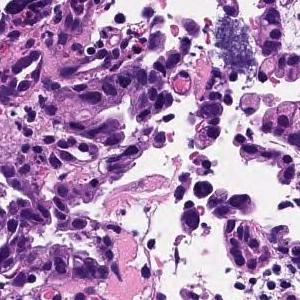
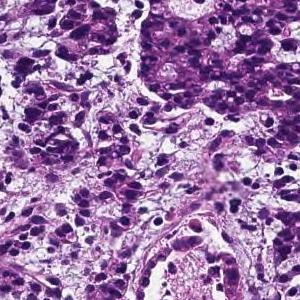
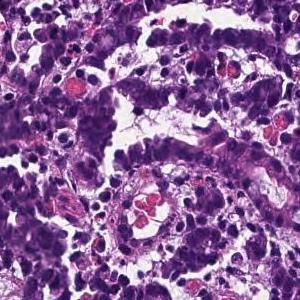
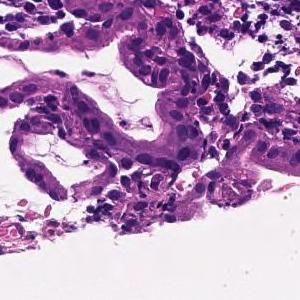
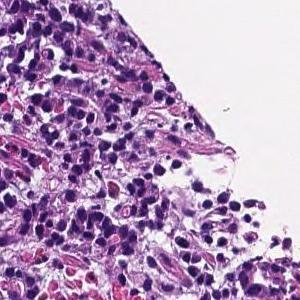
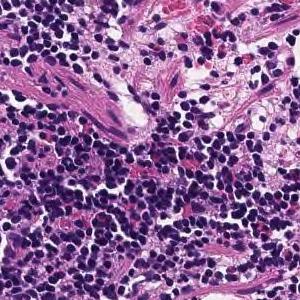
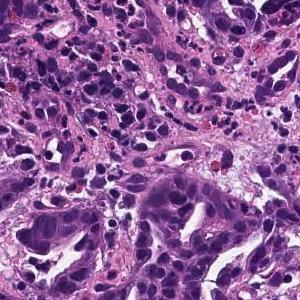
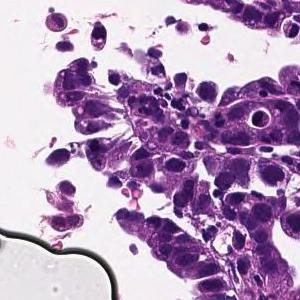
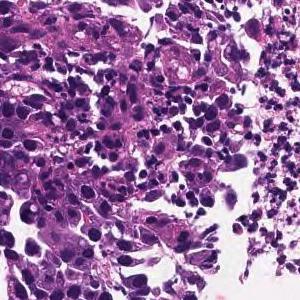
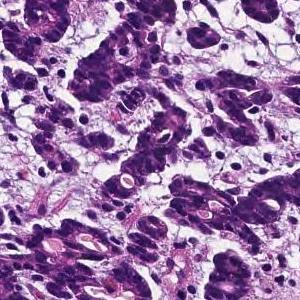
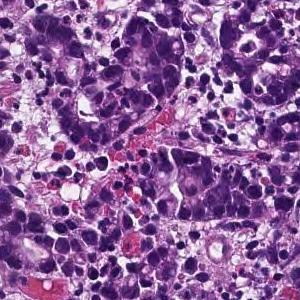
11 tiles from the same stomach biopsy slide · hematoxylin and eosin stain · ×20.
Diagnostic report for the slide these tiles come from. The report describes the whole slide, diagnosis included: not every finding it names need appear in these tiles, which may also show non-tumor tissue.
In the superficial epithelium, tumor tissue that invades by forming medium-sized to small, irregular ducts is observed. moderately differentiated tubular adenocarcinoma.
